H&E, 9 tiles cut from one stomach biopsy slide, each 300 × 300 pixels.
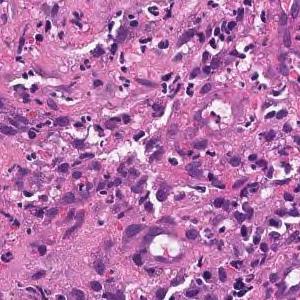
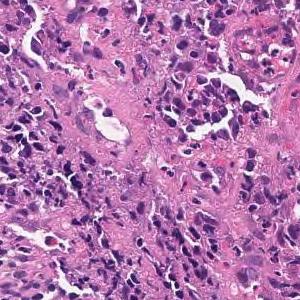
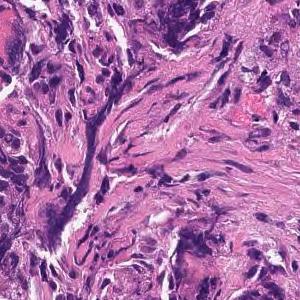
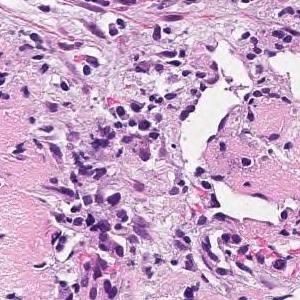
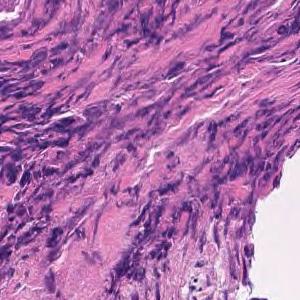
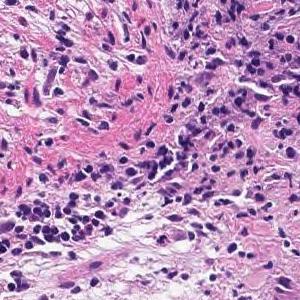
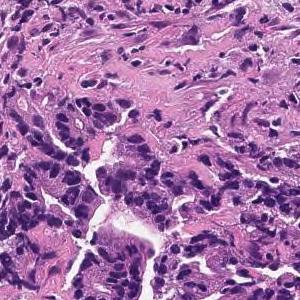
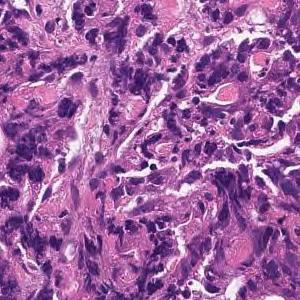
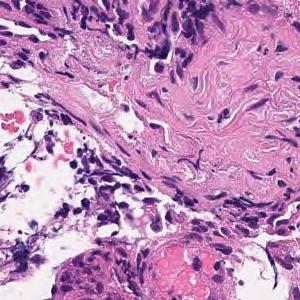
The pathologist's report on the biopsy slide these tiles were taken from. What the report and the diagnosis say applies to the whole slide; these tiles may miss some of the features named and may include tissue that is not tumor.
Tumor tissue consisting of medium-sized, cord-like or irregular glandular infiltration is observed in the superficial epithelium. Poorly differentiated adenocarcinoma, non-solid type or moderately differentiated tubular adenocarcinoma
Tumor subtype: moderately to poorly differentiated adenocarcinoma.
"Non-solid type" is a category of the Japanese Classification of Gastric Carcinoma.
